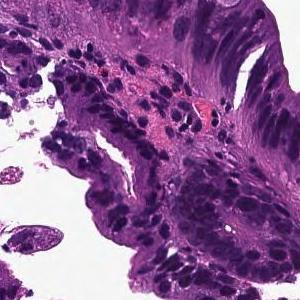
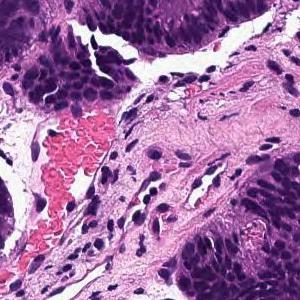
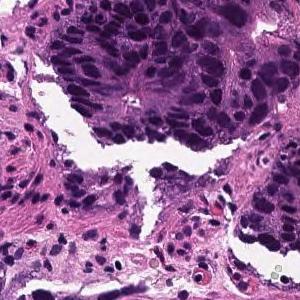
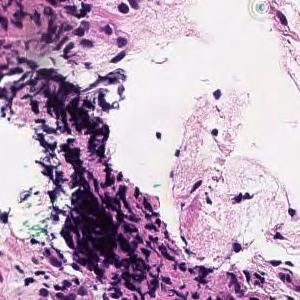
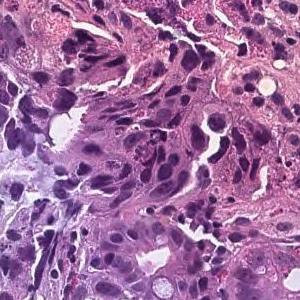
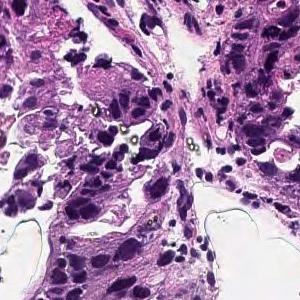
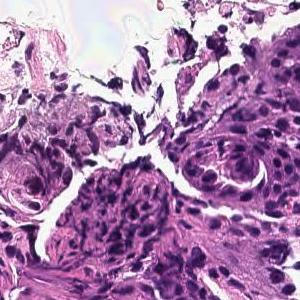
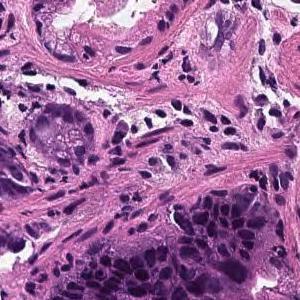
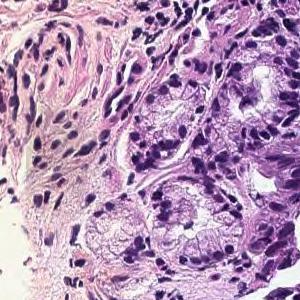
9 patches cut from one gastric biopsy slide, 300 × 300 pixels each, hematoxylin and eosin stain.
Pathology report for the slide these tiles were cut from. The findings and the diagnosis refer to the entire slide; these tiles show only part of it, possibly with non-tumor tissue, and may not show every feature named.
In the superficial epithelium, tumor tissue that invades by forming medium-sized to small, irregular ducts is observed. moderately differentiated tubular adenocarcinoma.
